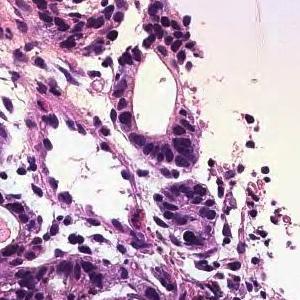
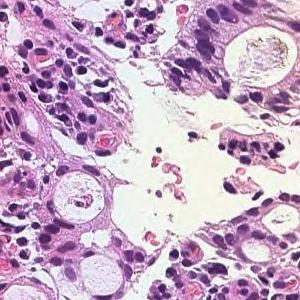
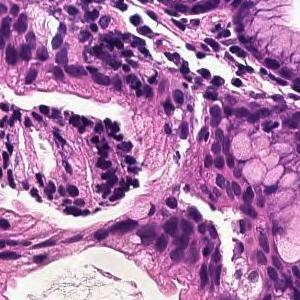
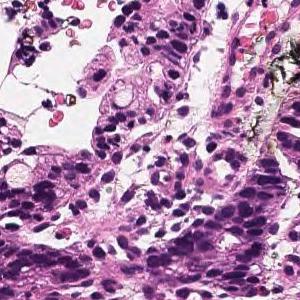
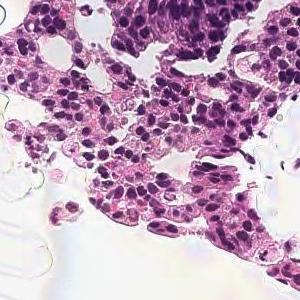
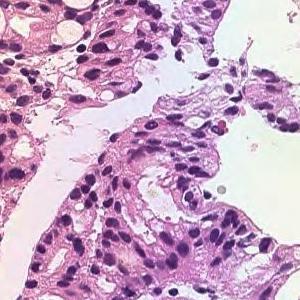
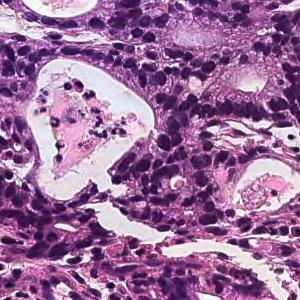
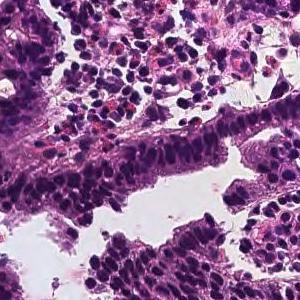
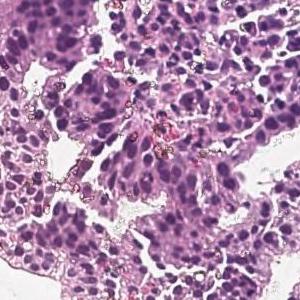
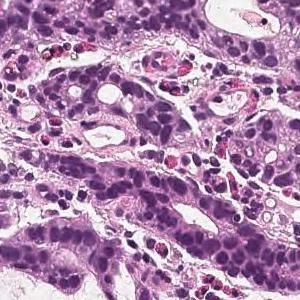
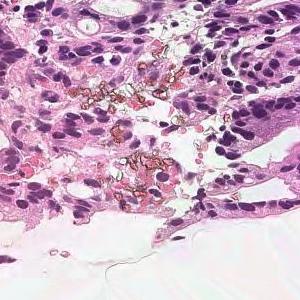
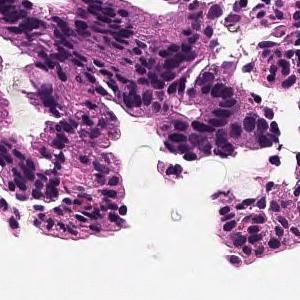
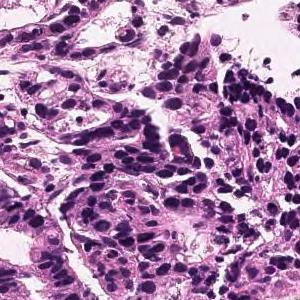
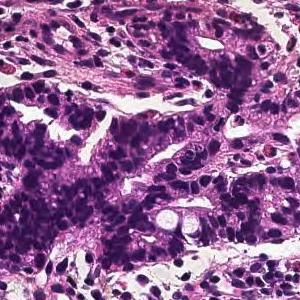
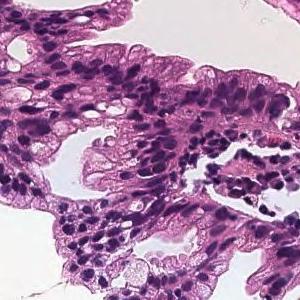
15 tiles from the same stomach biopsy slide · 300×300 px each · hematoxylin and eosin stain.
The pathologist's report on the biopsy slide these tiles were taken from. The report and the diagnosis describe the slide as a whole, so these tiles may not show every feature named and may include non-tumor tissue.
In the superficial epithelium, tumor tissue that invades by forming medium-sized to small, irregular ducts is observed. moderately differentiated tubular adenocarcinoma.
